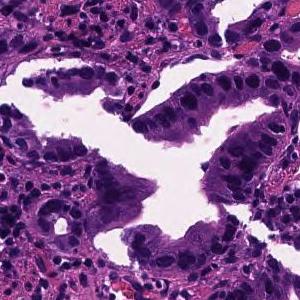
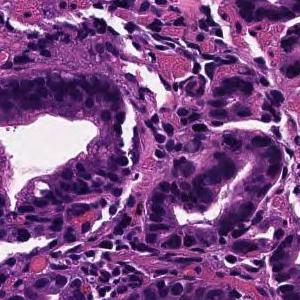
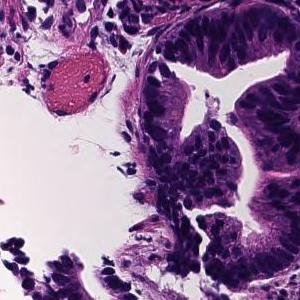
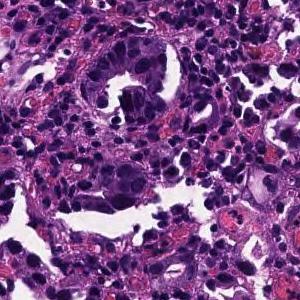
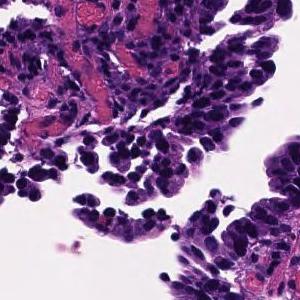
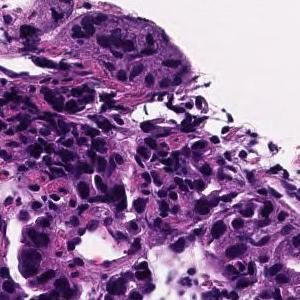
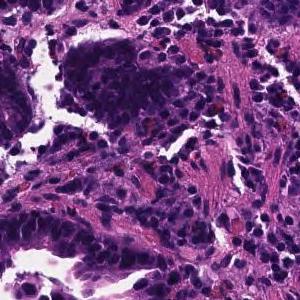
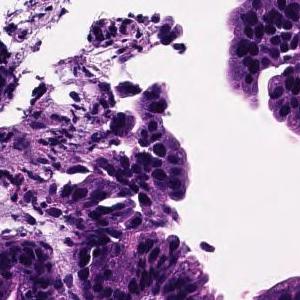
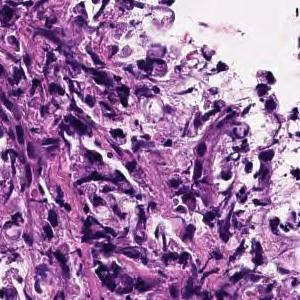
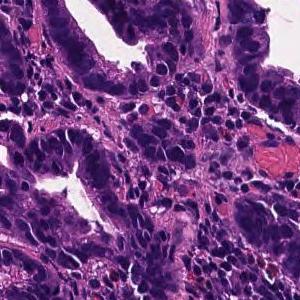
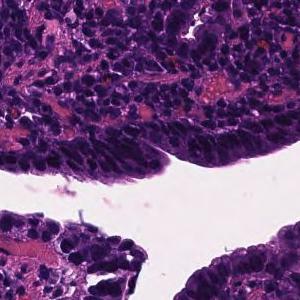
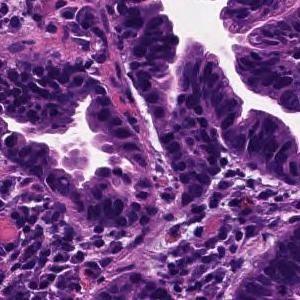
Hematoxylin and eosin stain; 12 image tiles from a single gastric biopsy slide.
Pathology report for the slide these tiles were cut from. The report describes the whole slide, diagnosis included: not every finding it names need appear in these tiles, which may also show non-tumor tissue.
On the superficial epithelium, tumor tissue that infiltrates by forming medium-sized papillary or small irregular ducts is observed. Papillary adenocarcinoma
